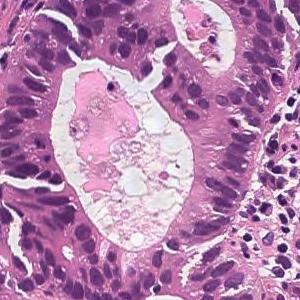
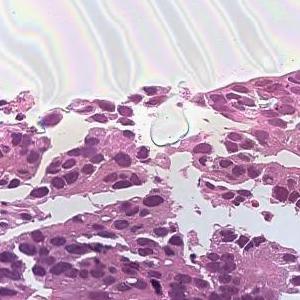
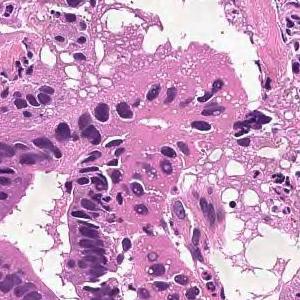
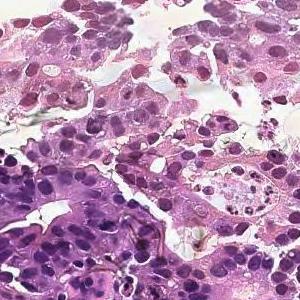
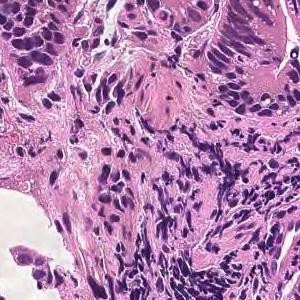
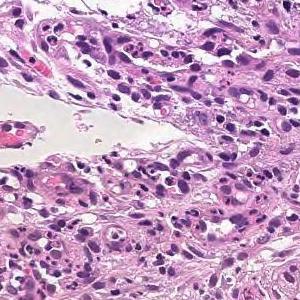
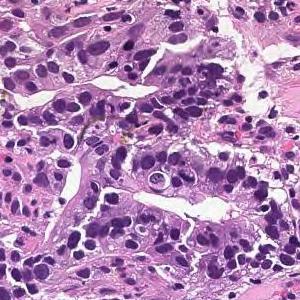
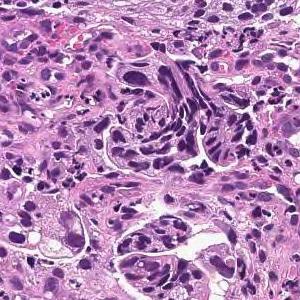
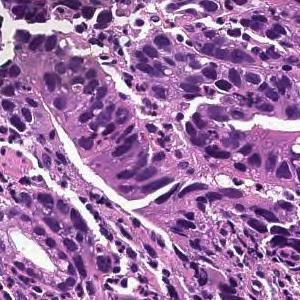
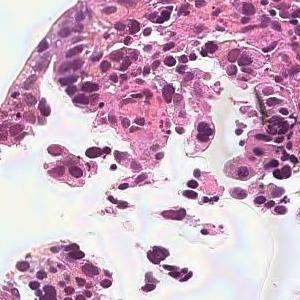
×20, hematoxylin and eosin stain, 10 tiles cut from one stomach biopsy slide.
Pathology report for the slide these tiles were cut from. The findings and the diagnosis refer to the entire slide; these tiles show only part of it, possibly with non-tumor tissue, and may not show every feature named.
On the superficial epithelium, tumor tissue consisting of large irregular glandular ducts partially fused and infiltrated is observed. Well to moderately differentiated tubular adenocarcinoma (well differentiated tubular adenocarcinoma, moderately differentiated tubular adenocarcinoma)
Tumor subtype: well to moderately differentiated tubular adenocarcinoma.
